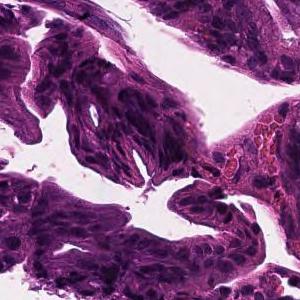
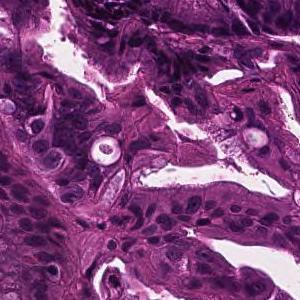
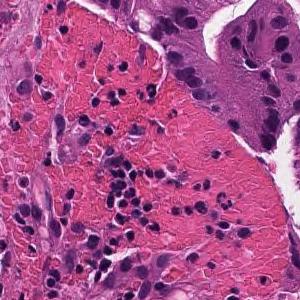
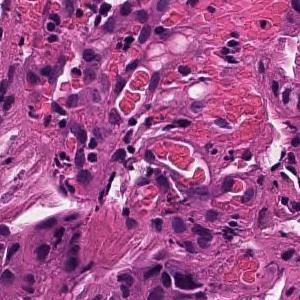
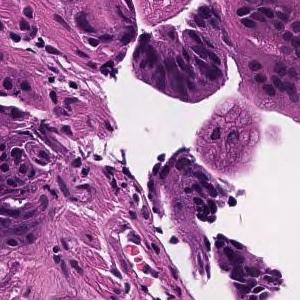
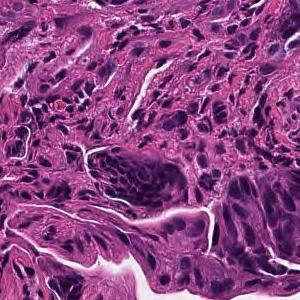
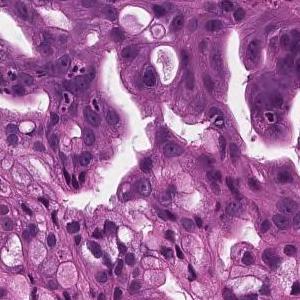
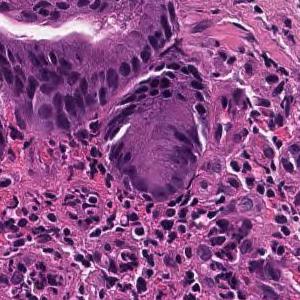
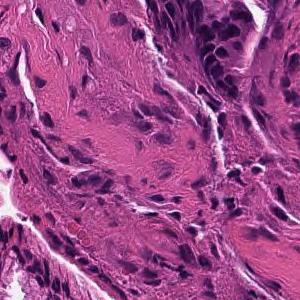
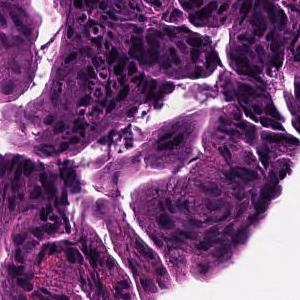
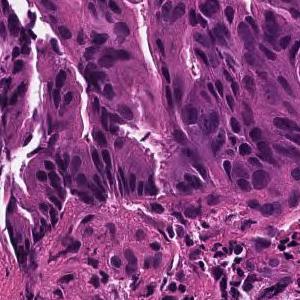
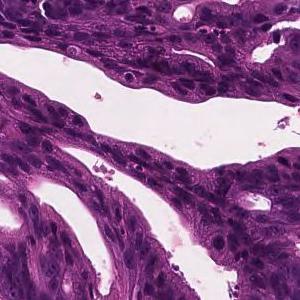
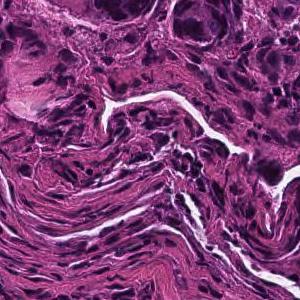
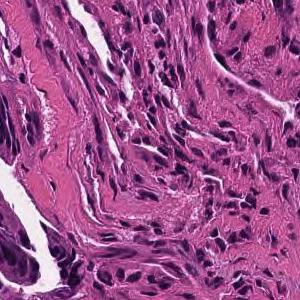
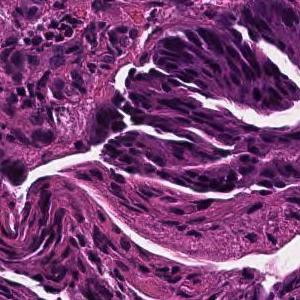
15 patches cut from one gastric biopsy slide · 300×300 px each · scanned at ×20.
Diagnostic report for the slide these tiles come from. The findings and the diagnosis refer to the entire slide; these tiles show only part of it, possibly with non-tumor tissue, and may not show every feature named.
Tumor cells are large, highly columnar, large club-shaped nuclei, and are associated with chromatin aggregation. Papillary adenocarcinoma.
